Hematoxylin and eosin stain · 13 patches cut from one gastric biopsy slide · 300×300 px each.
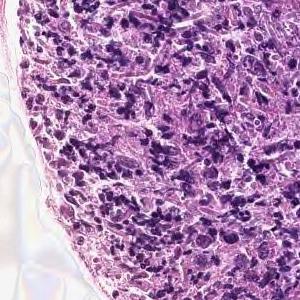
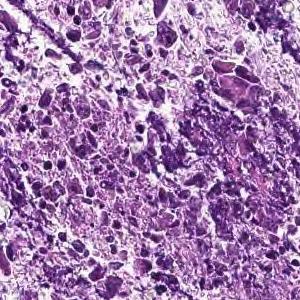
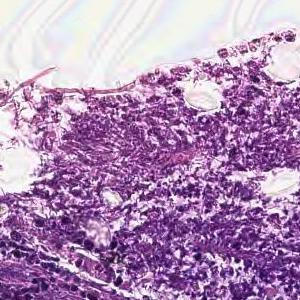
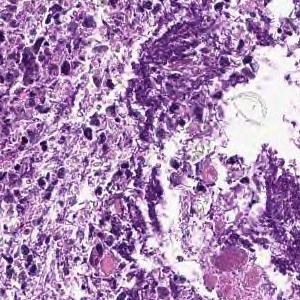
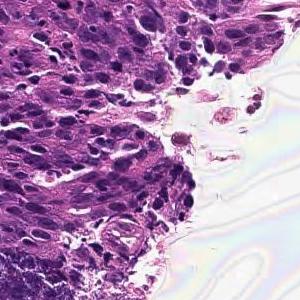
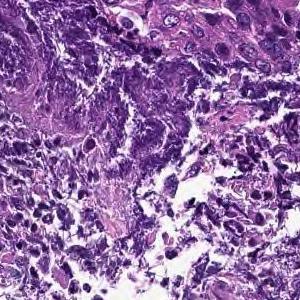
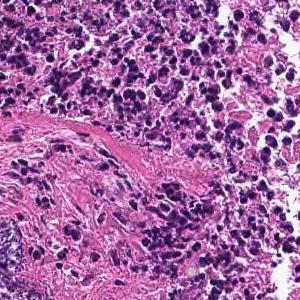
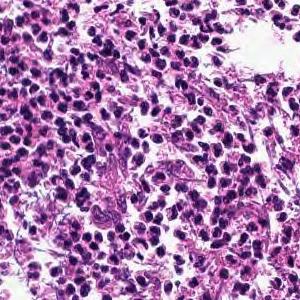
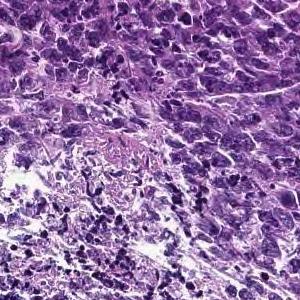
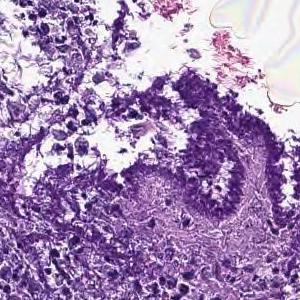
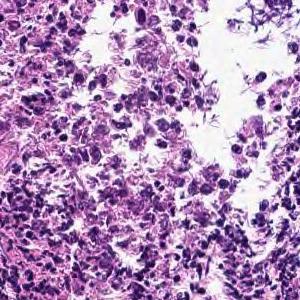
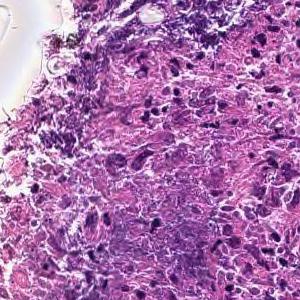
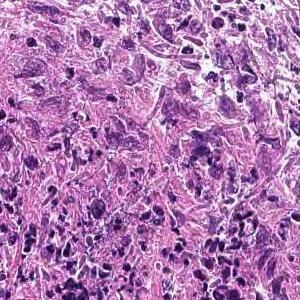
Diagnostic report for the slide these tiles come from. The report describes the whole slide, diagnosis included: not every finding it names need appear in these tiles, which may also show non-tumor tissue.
Cancers with polygonal nuclei do not show glandular formation and are densely, in part, cord-like and proliferate. Poorly differentiated adenocarcinoma
Tumor subtype: poorly differentiated adenocarcinoma, non-solid type.
The term "non-solid type" comes from the Japanese Classification of Gastric Carcinoma.
